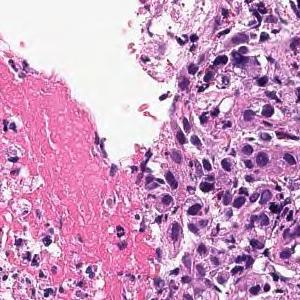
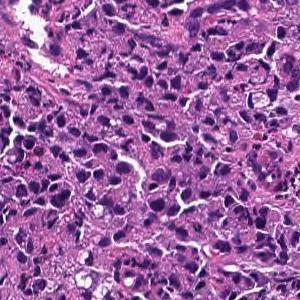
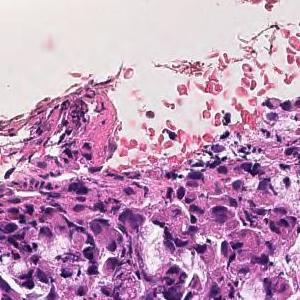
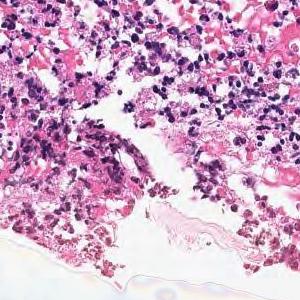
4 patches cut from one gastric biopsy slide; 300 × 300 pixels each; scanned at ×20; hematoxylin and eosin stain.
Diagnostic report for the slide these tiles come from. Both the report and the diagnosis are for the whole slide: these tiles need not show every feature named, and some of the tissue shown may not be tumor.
Tumor tissue consisting of diffusely infiltrated large atypical epithelial cells or signet ring atypical cells is observed in the superficial epithelium. Poorly differentiated adenocarcinoma, solid-type
Histologic type: Poorly differentiated adenocarcinoma, solid type (Japanese Classification of Gastric Carcinoma). The WHO 2019 equivalent is tubular adenocarcinoma, poorly differentiated.
